6 tiles cut from one stomach biopsy slide, each 300 × 300 pixels, 20× magnification.
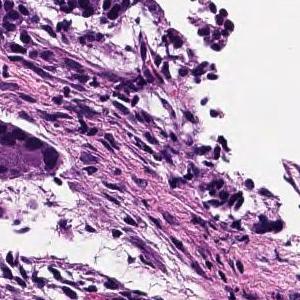
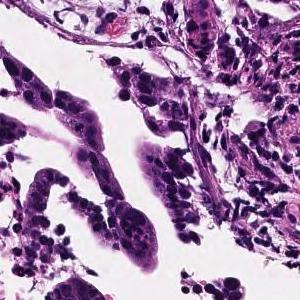
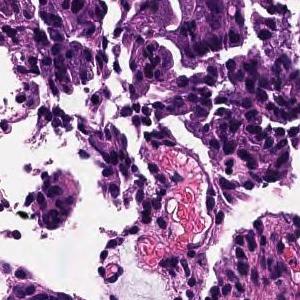
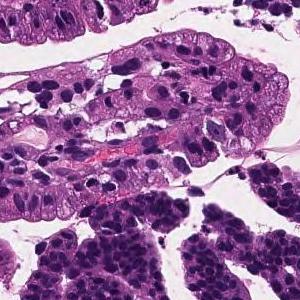
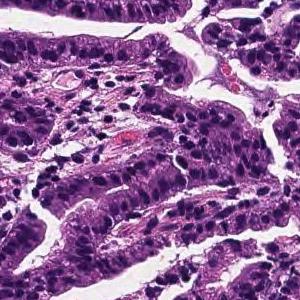
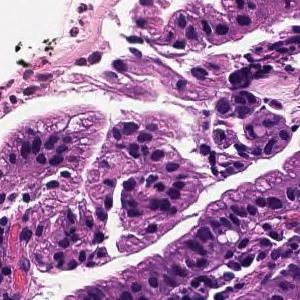
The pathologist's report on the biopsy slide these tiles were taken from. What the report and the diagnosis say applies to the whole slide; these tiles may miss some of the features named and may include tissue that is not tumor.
On the superficial epithelium, tumor tissue that infiltrates by forming medium-sized papillary or small irregular ducts is observed. Papillary adenocarcinoma
